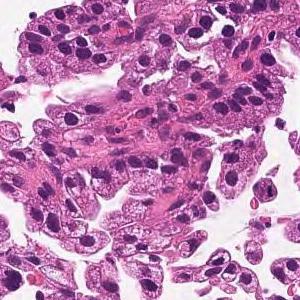
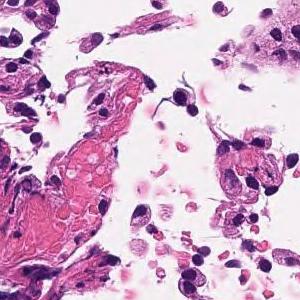
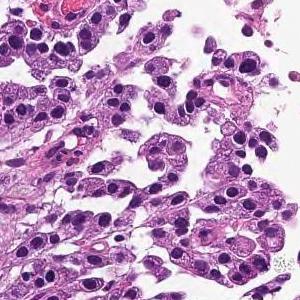
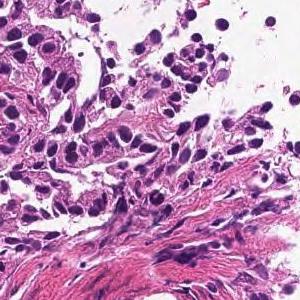
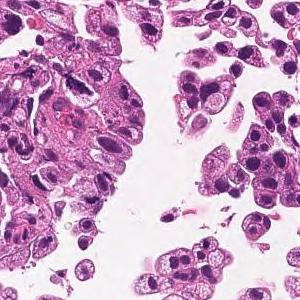
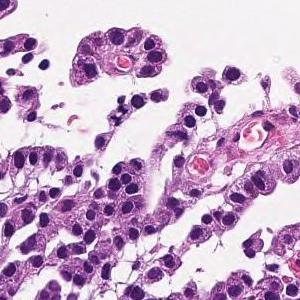
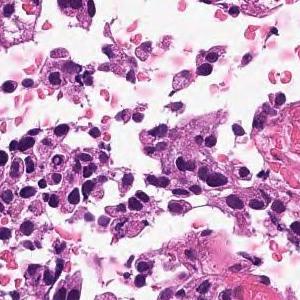
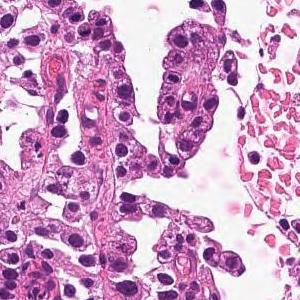
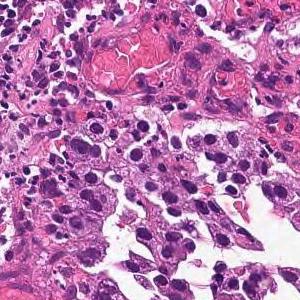
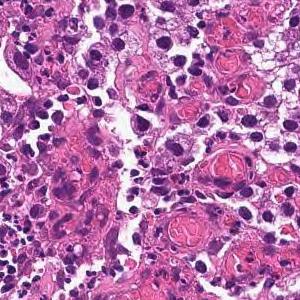
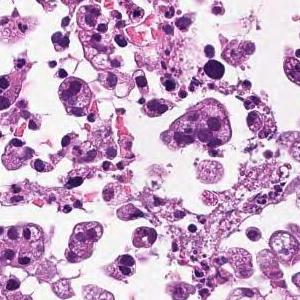
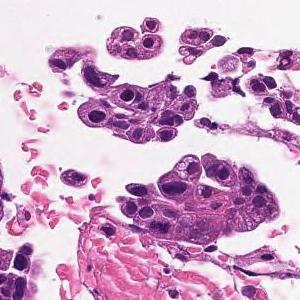
H&E stain · 20× magnification · 12 image tiles from a single gastric biopsy slide · each 300 × 300 pixels.
Report on the slide these tiles come from. What the report and the diagnosis say applies to the whole slide; these tiles may miss some of the features named and may include tissue that is not tumor.
In the superficial epithelium, tumor tissue that invades by forming medium-sized to small, irregular ducts is observed. moderately differentiated tubular adenocarcinoma.
